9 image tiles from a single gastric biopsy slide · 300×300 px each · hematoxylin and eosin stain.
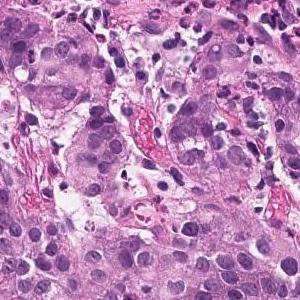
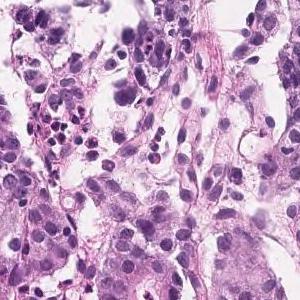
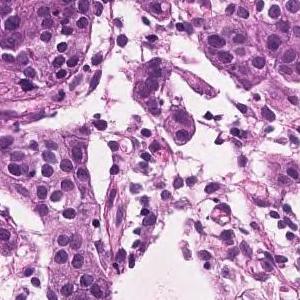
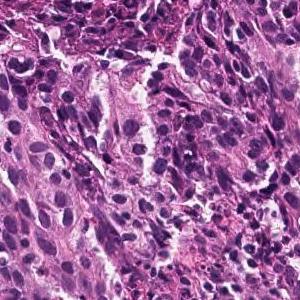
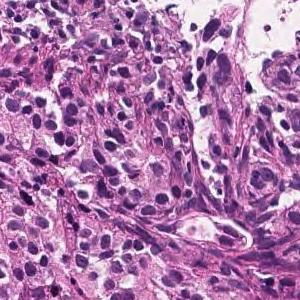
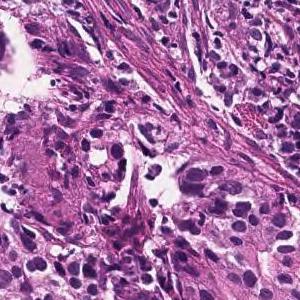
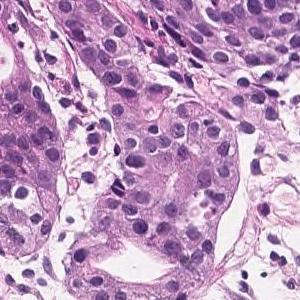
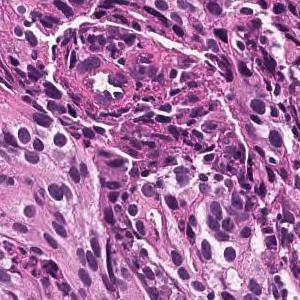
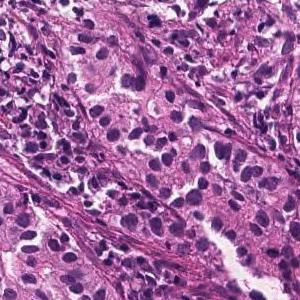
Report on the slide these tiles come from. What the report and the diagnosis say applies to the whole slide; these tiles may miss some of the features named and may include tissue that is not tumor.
Medium to small, irregular glandular ducts are formed in the superficial epithelium, and in some cases, the glandular ducts are fused to show solid alveolar lesions and infiltrating tumor tissue is observed. Moderately to poorly differentiated adenocarcinoma.
